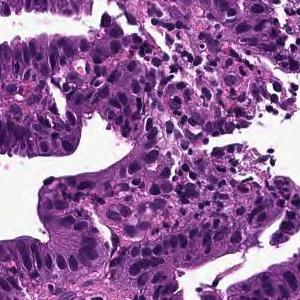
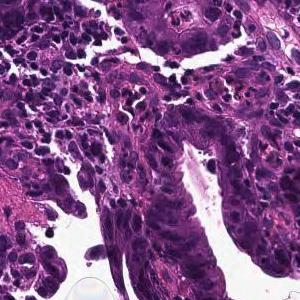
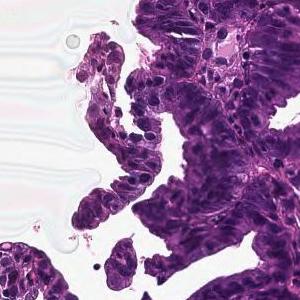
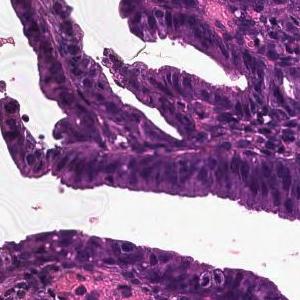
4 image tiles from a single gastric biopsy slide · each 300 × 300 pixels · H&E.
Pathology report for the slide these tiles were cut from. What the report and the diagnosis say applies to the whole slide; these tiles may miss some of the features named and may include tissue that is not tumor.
Tumor cells are large, highly columnar, large club-shaped nuclei, and are associated with chromatin aggregation. Papillary adenocarcinoma.
